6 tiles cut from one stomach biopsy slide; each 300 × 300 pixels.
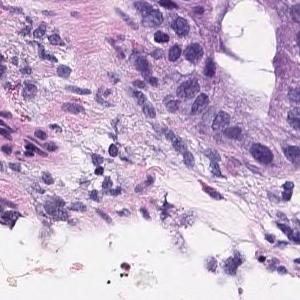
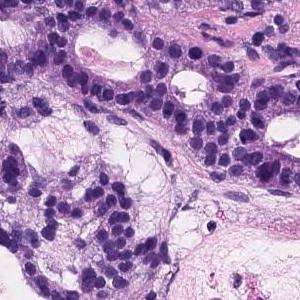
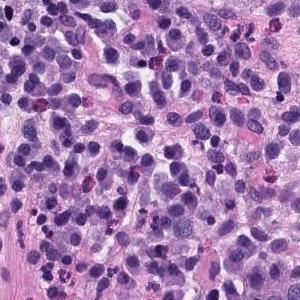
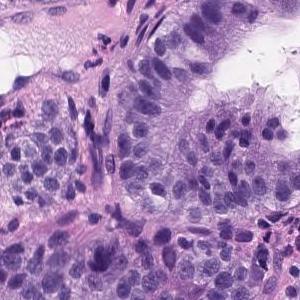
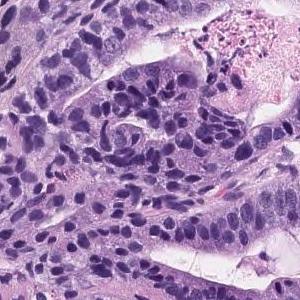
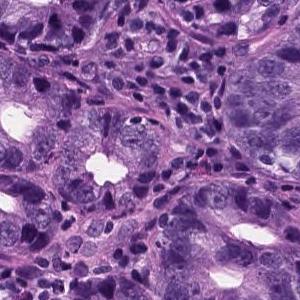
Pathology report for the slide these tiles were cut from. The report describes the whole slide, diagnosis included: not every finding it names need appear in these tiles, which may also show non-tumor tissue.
Tumor tissue consisting of medium-sized and irregular ducts is observed infiltrating in the superficial epithelium. Tumor cells are highly columnar, with nuclei aligned basolaterally and polarized. Well differentiated tubular adenocarcinoma.
